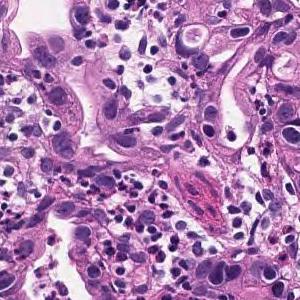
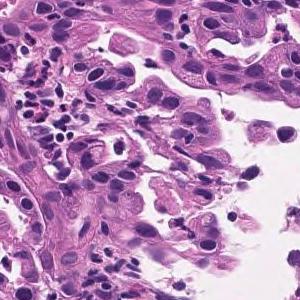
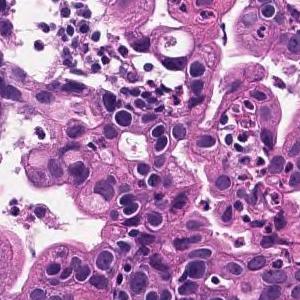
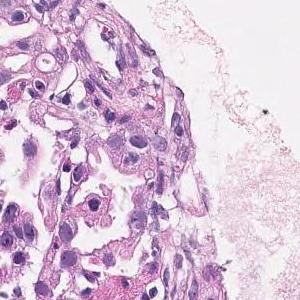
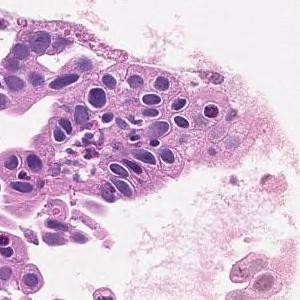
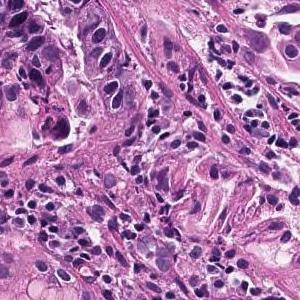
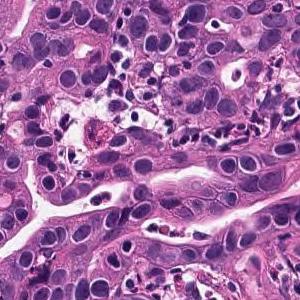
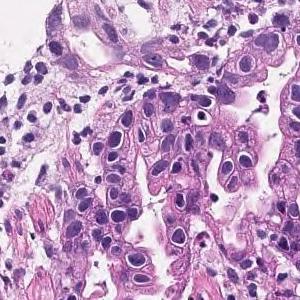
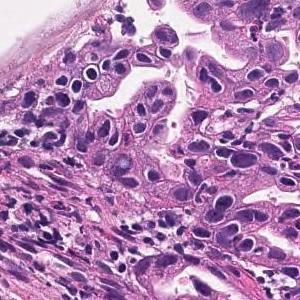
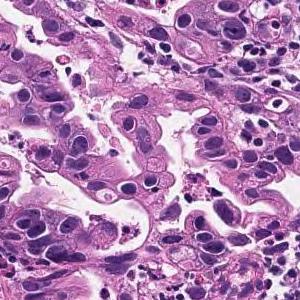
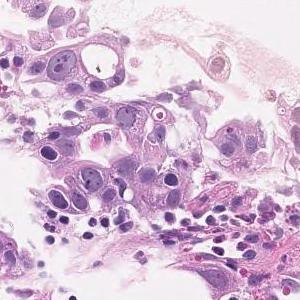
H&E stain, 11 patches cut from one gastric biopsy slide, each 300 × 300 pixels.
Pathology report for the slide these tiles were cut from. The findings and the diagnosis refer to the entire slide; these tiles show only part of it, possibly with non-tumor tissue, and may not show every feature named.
In the superficial epithelium, tumor tissue that invades by forming medium-sized to small, irregular ducts is observed. moderately differentiated tubular adenocarcinoma.
